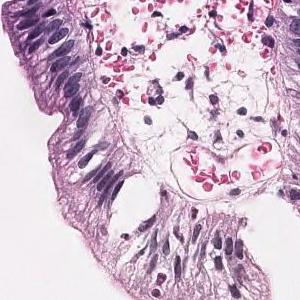
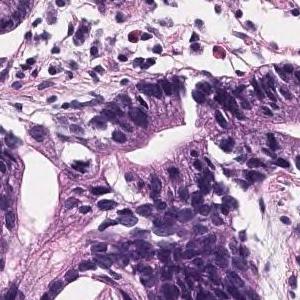
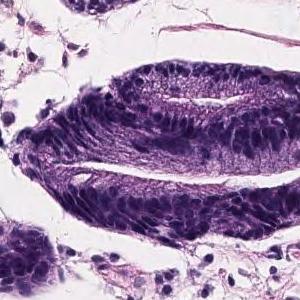
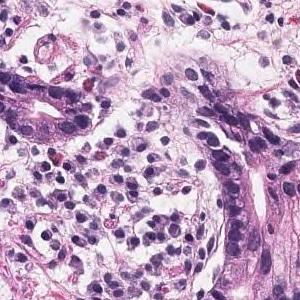
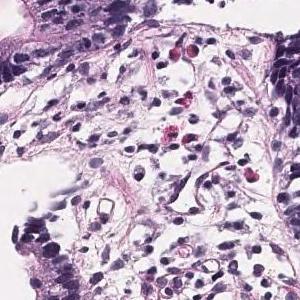
5 tiles from the same stomach biopsy slide · scanned at ×20 · H&E.
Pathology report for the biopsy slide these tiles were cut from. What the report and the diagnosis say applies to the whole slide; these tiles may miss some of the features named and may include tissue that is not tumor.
On the superficial epithelium, tumor tissue consisting of large, irregular glandular ducts partially fused and infiltrated is observed. Well differentiated tubular adenocarcinoma
